15 patches cut from one gastric biopsy slide · 300 × 300 pixels each · ×20 · H&E.
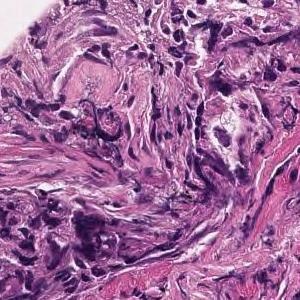
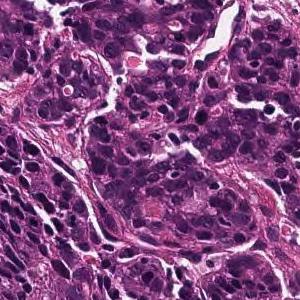
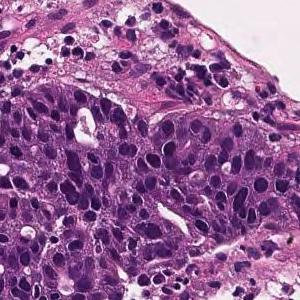
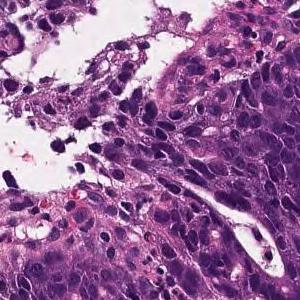
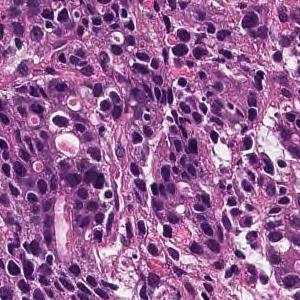
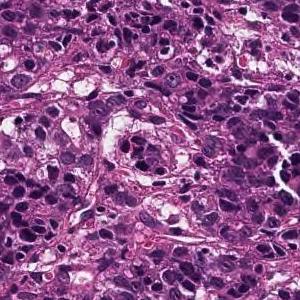
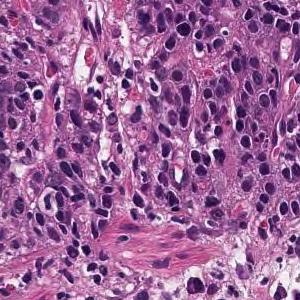
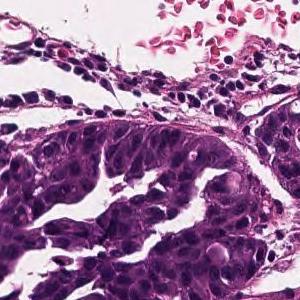
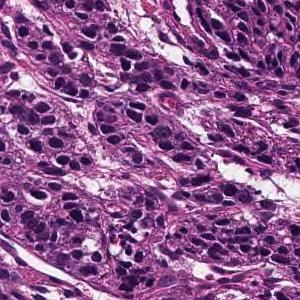
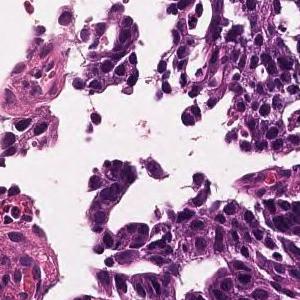
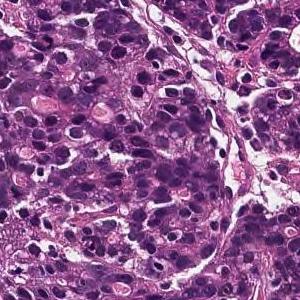
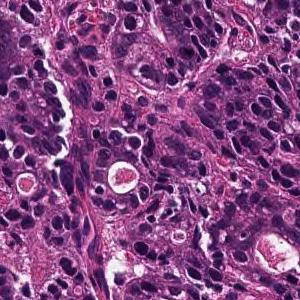
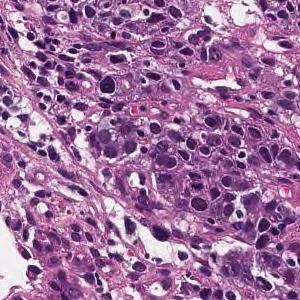
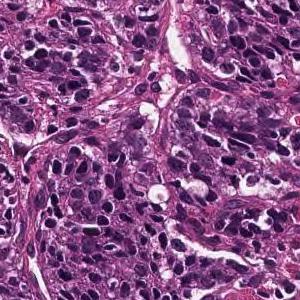
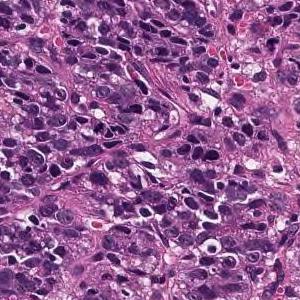
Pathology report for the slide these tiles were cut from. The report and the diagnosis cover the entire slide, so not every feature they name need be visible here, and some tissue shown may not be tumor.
Medium to small, irregular glandular ducts are formed in the superficial epithelium, and in some cases, the glandular ducts are fused to show solid alveolar lesions and infiltrating tumor tissue is observed. Moderately to poorly differentiated adenocarcinoma.
